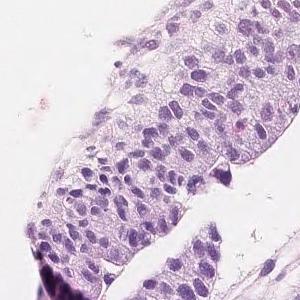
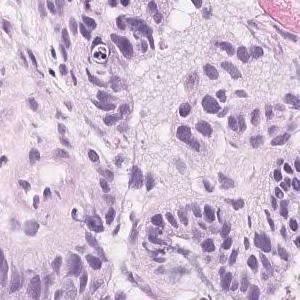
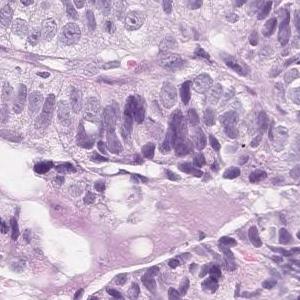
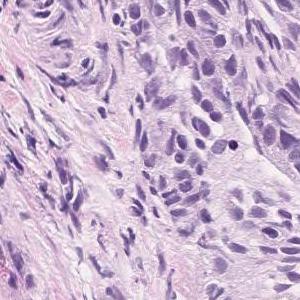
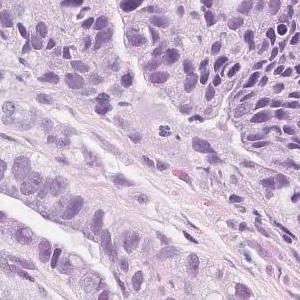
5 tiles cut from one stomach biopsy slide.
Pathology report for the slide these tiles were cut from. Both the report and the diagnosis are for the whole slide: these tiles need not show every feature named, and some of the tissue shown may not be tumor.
Tumor tissue in which highly columnar atypical epithelial cells with nuclear enlargement and increased nuclear chromatin show papillary to papillary ductal structure and proliferate is observed. Papillary adenocarcinoma.
